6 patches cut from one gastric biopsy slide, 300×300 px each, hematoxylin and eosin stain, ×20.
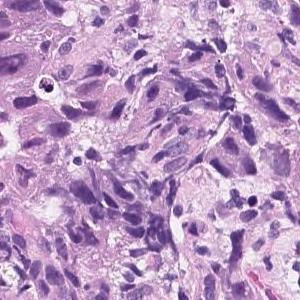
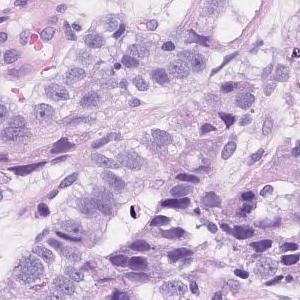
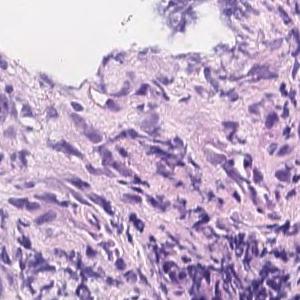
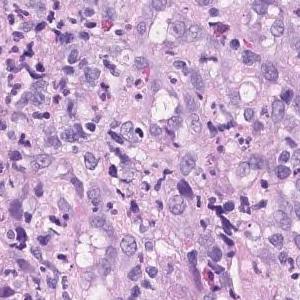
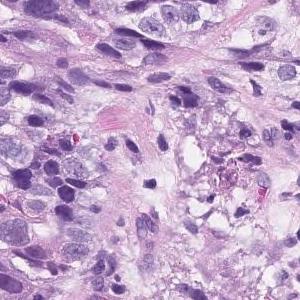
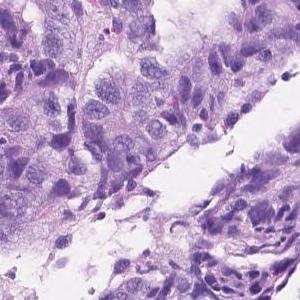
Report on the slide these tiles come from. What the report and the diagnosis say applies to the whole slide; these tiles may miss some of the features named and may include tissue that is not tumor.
Atypical epithelial cells infiltrating and proliferating diffusely or while forming vesicles is observed. Poorly differentiated adenocarcinoma (poorly differentiated adenocarcinoma, solid type moderately differentiated tubular adenocarcinoma)
The dataset labels this slide poorly differentiated adenocarcinoma, solid type (Japanese Classification of Gastric Carcinoma). The WHO 2019 equivalent is tubular adenocarcinoma, poorly differentiated.
